6 patches cut from one gastric biopsy slide, hematoxylin and eosin stain, scanned at ×20.
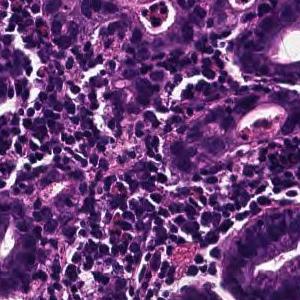
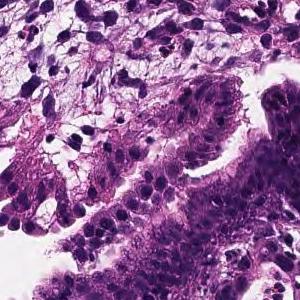
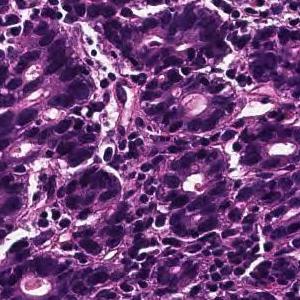
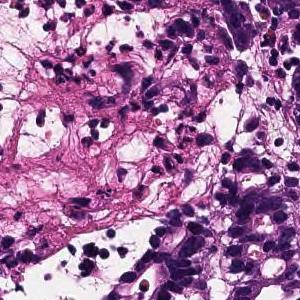
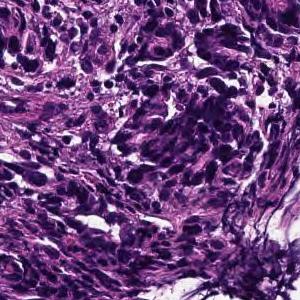
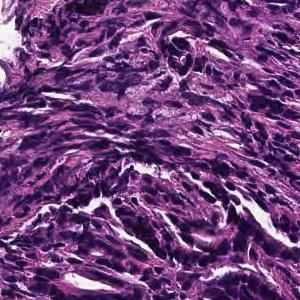
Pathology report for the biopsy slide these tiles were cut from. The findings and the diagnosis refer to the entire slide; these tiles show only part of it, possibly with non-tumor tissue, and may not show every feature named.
On the superficial epithelium, tumor tissue is found in which medium-sized irregular gland ducts fuse with each other and infiltrate. moderately differentiated tubular adenocarcinoma or Poorly differentiated adenocarcinoma, non-solid type
Subtype: Moderately to poorly differentiated adenocarcinoma.
The term "non-solid type" comes from the Japanese Classification of Gastric Carcinoma.
